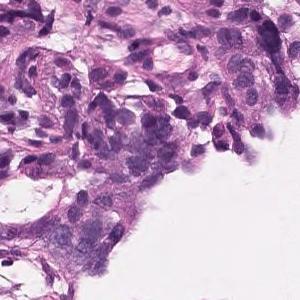
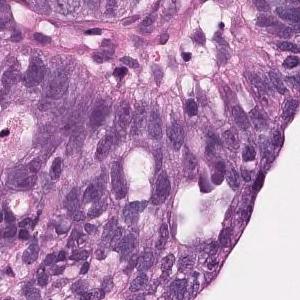
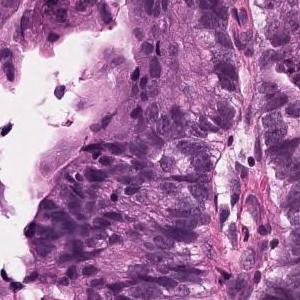
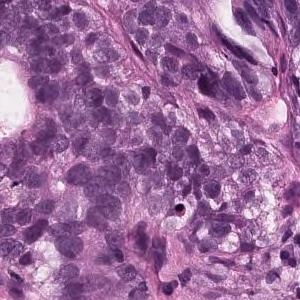
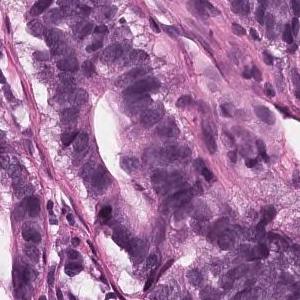
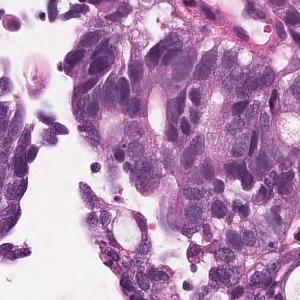
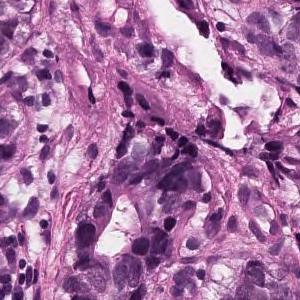
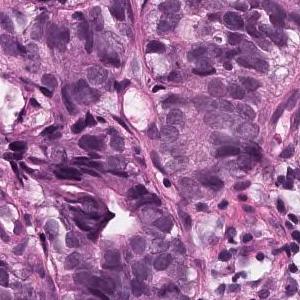
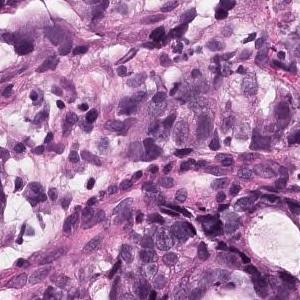
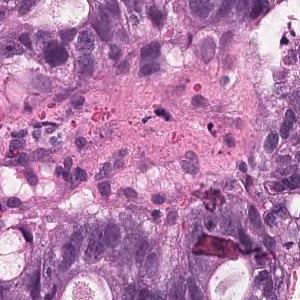
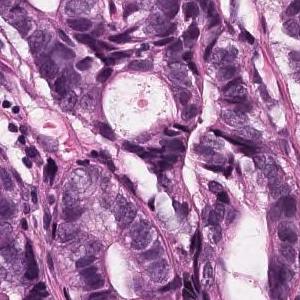
11 patches cut from one gastric biopsy slide; ×20.
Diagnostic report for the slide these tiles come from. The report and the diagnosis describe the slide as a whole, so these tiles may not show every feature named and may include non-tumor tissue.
On the superficial epithelium, tumor tissue consisting of large, irregular glandular ducts partially fused and infiltrated is observed. Well to moderately differentiated tubular adenocarcinoma (well differentiated tubular adenocarcinoma, moderately differentiated tubular adenocarcinoma)
Classified as well to moderately differentiated tubular adenocarcinoma.
